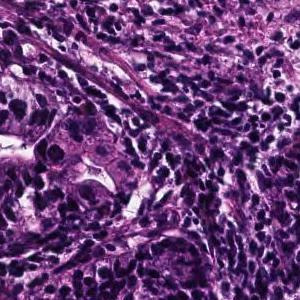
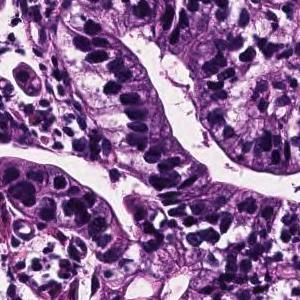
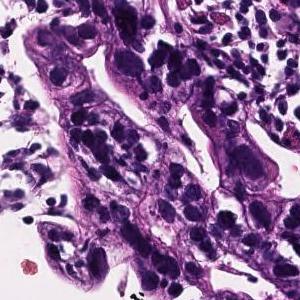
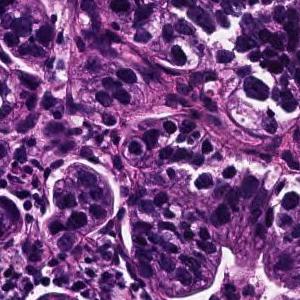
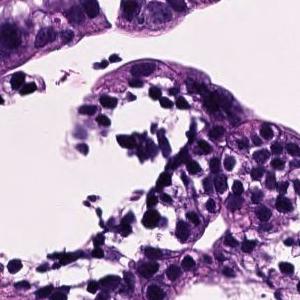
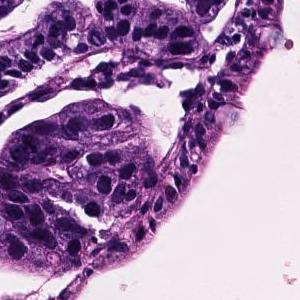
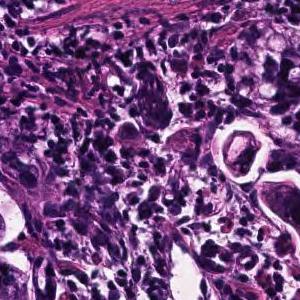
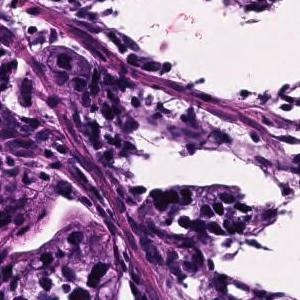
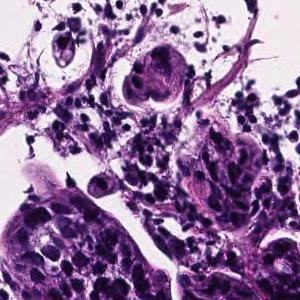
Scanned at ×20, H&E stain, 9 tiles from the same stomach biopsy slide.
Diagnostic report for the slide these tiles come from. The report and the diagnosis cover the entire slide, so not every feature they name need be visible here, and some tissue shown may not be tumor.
Tumor tissue consisting of cord-like or small, irregular glandular ducts fused and infiltrated is observed in the superficial epithelium. Poorly differentiated adenocarcinoma, non-solid type
The term "non-solid type" comes from the Japanese Classification of Gastric Carcinoma.
